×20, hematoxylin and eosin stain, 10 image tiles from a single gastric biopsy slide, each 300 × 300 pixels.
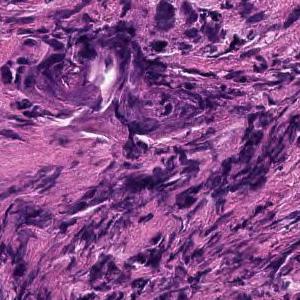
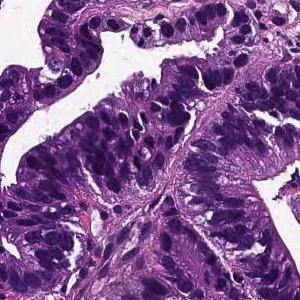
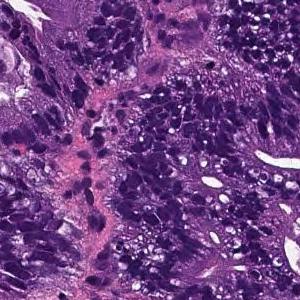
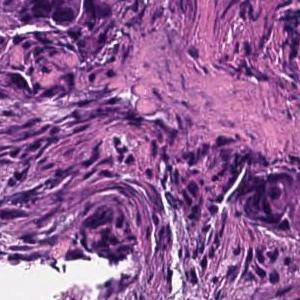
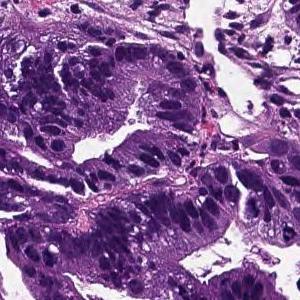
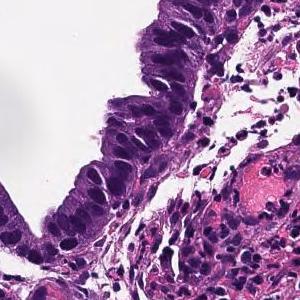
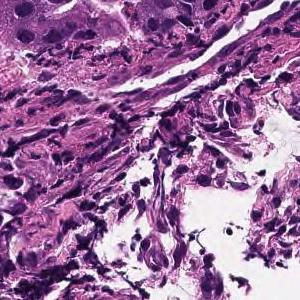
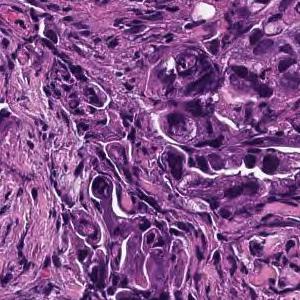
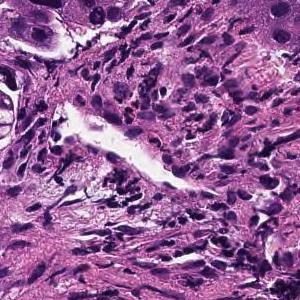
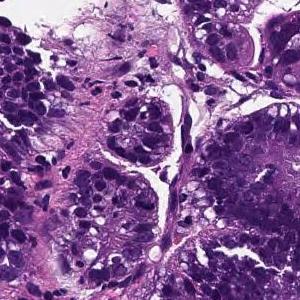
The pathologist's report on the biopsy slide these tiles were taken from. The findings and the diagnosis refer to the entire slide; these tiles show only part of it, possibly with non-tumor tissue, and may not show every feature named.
Tumor cells are large, highly columnar, large club-shaped nuclei, and are associated with chromatin aggregation. Papillary adenocarcinoma.
